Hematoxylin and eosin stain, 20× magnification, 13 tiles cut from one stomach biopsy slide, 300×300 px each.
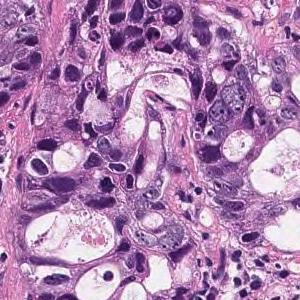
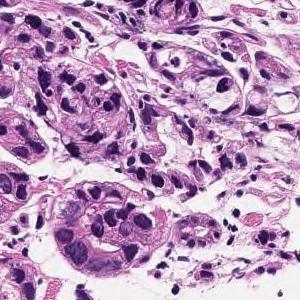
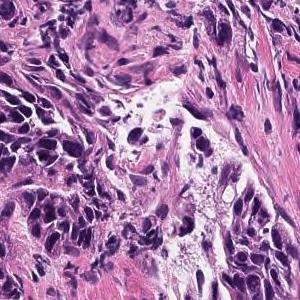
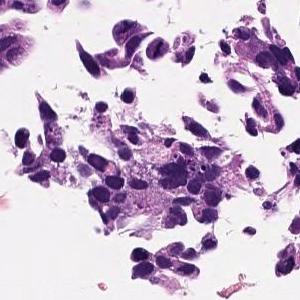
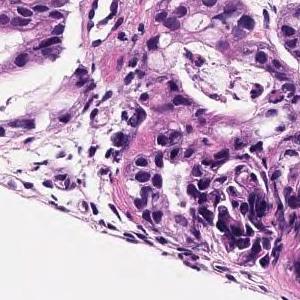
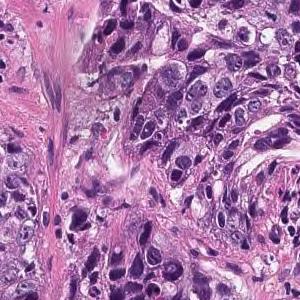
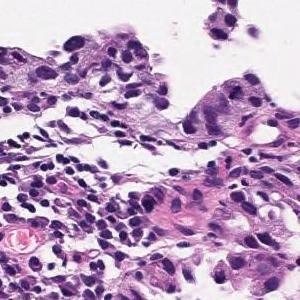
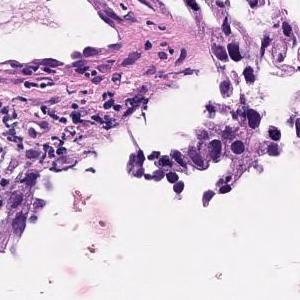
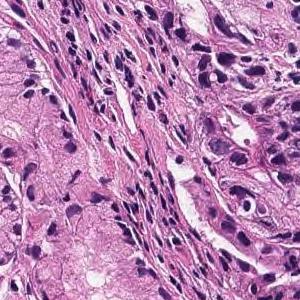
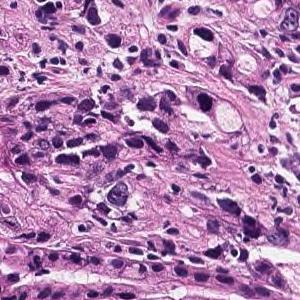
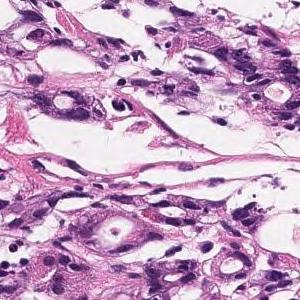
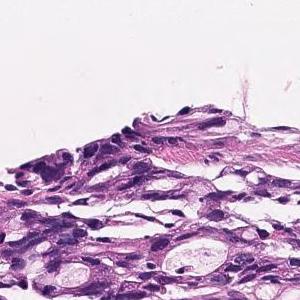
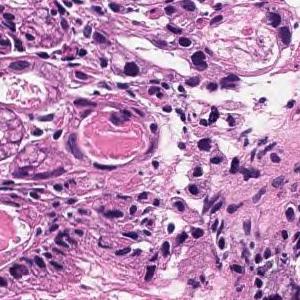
Pathology report for the biopsy slide these tiles were cut from. Both the report and the diagnosis are for the whole slide: these tiles need not show every feature named, and some of the tissue shown may not be tumor.
In the superficial epithelium, tumor tissue that invades by forming medium-sized to small, irregular ducts is observed. Moderately differentiated adenocarcinoma.
Classified as moderately differentiated tubular adenocarcinoma.
